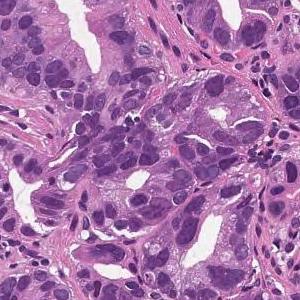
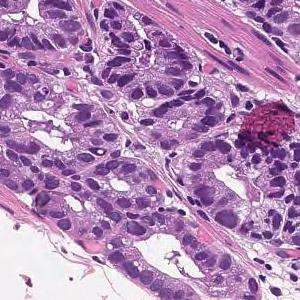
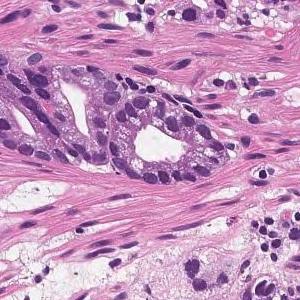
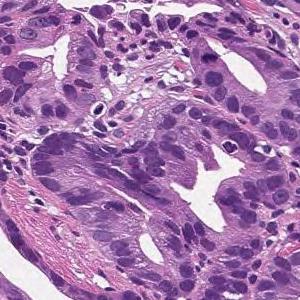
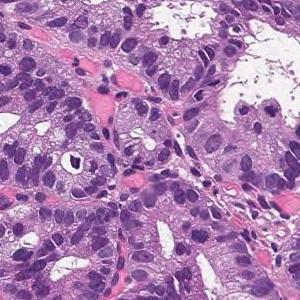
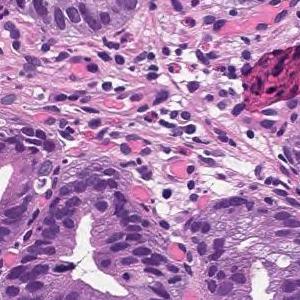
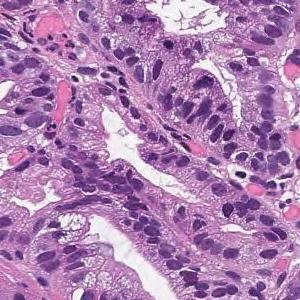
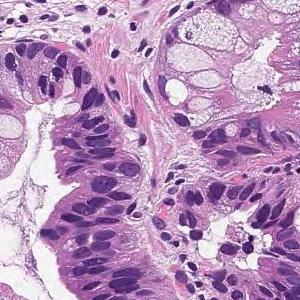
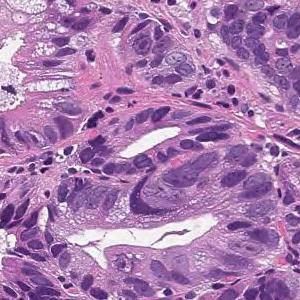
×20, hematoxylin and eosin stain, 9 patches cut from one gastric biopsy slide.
Pathology report for the slide these tiles were cut from. The report and the diagnosis cover the entire slide, so not every feature they name need be visible here, and some tissue shown may not be tumor.
On the superficial epithelium, tumor tissue consisting of large irregular glandular ducts partially fused and infiltrated is observed. Well to moderately differentiated tubular adenocarcinoma (well differentiated tubular adenocarcinoma, moderately differentiated tubular adenocarcinoma)
Histological subtype: Well to moderately differentiated tubular adenocarcinoma.
